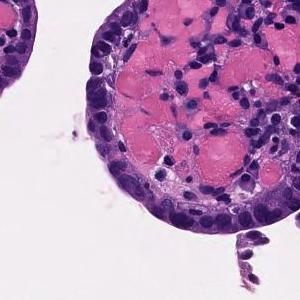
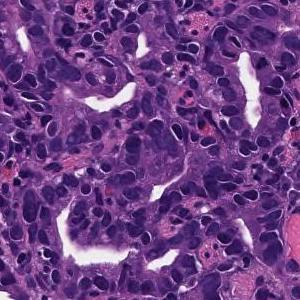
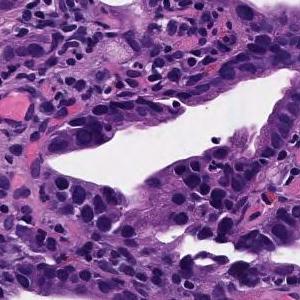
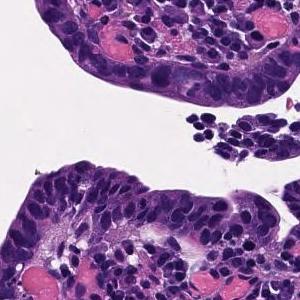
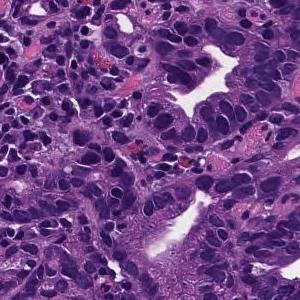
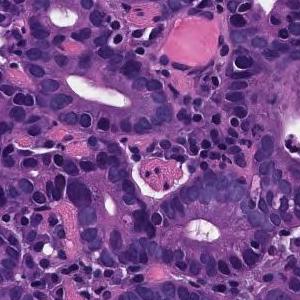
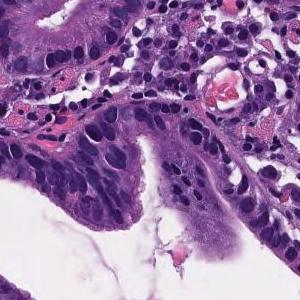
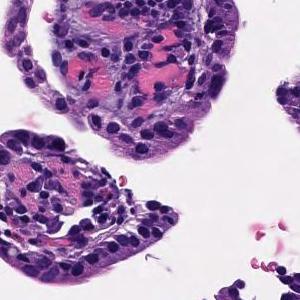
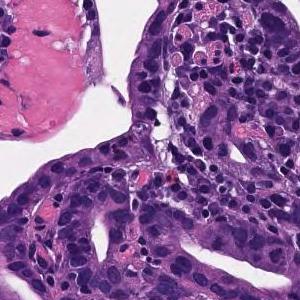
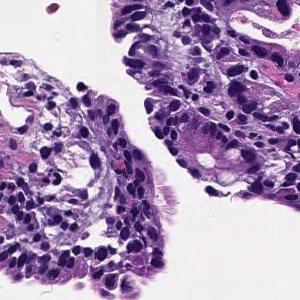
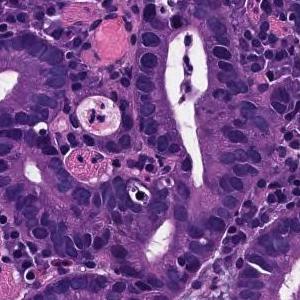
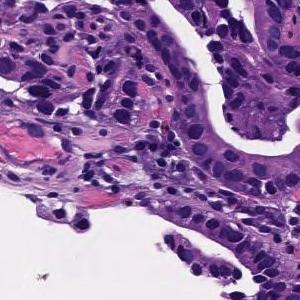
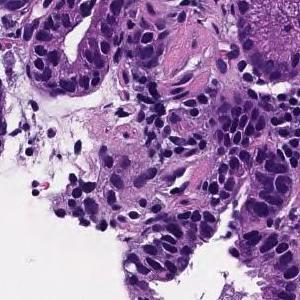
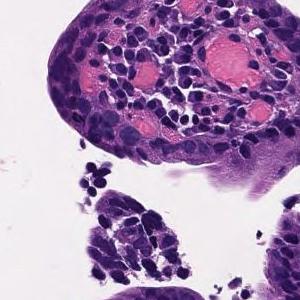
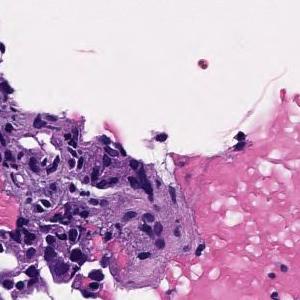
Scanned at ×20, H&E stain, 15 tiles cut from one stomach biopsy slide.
Report on the slide these tiles come from. The report and the diagnosis cover the entire slide, so not every feature they name need be visible here, and some tissue shown may not be tumor.
From the superficial epithelium to the muscularis mucosae, tumor tissue consisting of medium-sized and irregular glandular ducts infiltrating is observed. Well differentiated tubular adenocarcinoma
